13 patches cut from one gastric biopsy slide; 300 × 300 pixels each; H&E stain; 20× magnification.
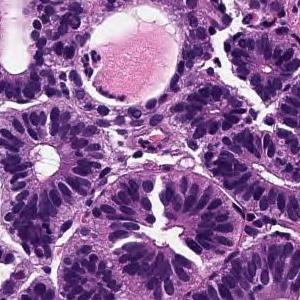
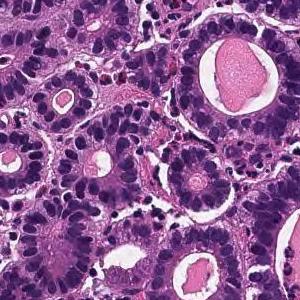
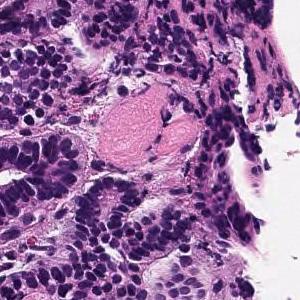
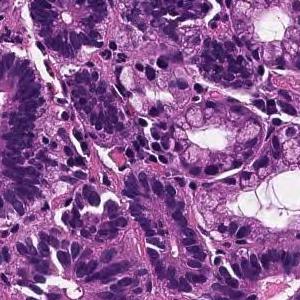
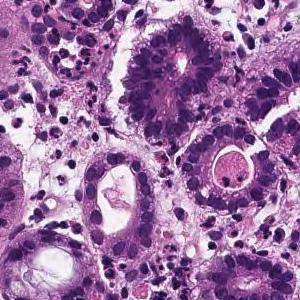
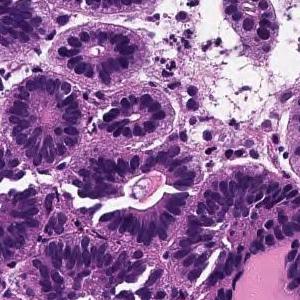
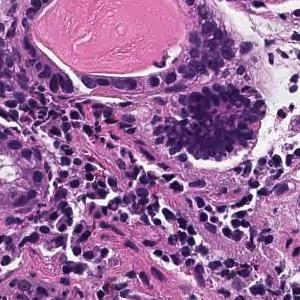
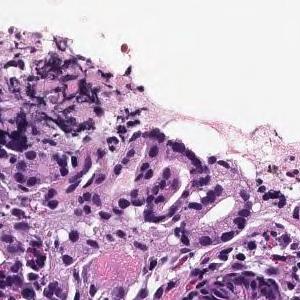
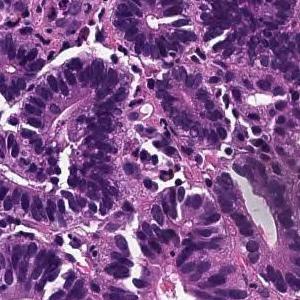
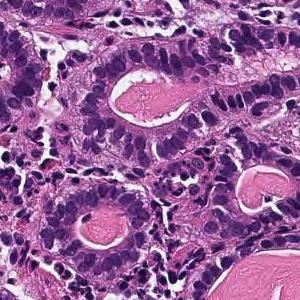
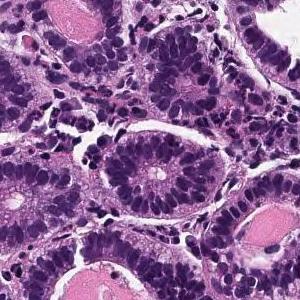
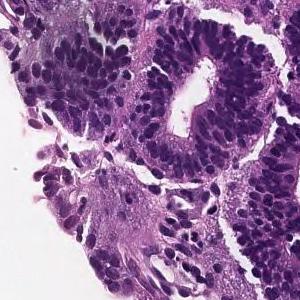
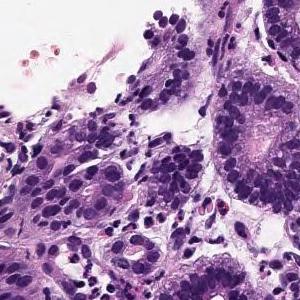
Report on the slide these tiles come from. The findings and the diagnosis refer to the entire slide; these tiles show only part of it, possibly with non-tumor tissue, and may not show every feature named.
From the superficial epithelium to the muscularis mucosae, tumor tissue consisting of medium-sized and irregular glandular ducts infiltrating is observed. Well differentiated tubular adenocarcinoma
